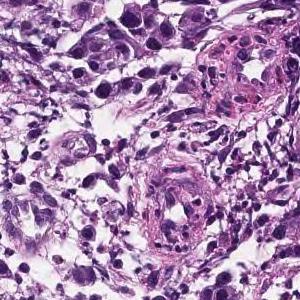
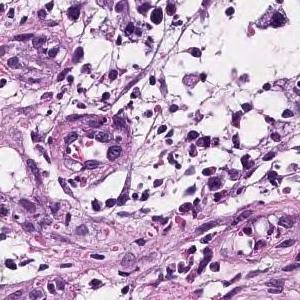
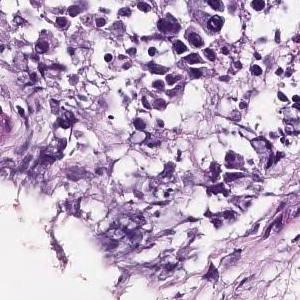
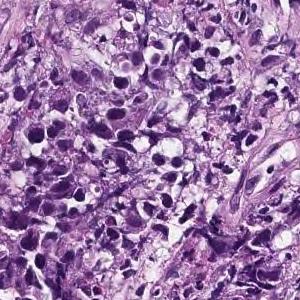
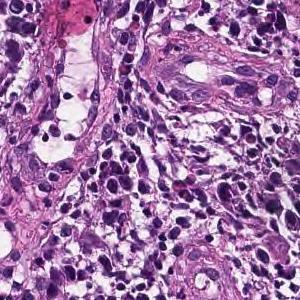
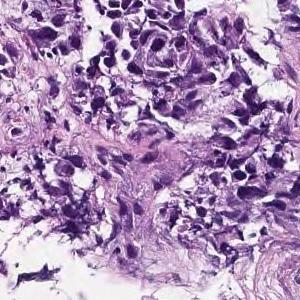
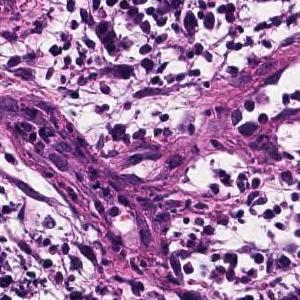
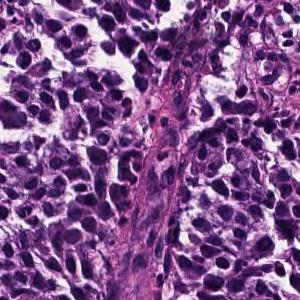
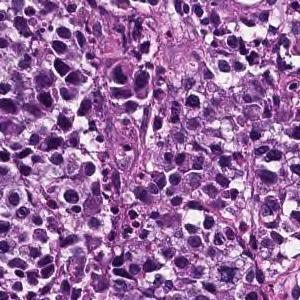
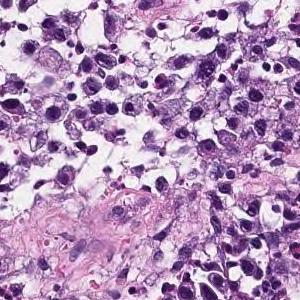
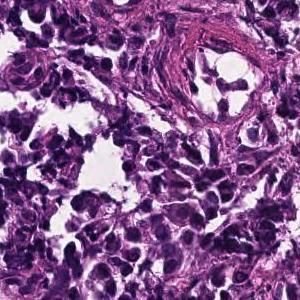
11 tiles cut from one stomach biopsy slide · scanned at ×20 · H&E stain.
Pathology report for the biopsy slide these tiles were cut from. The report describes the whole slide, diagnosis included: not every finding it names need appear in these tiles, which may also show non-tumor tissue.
The superficial epithelium shows a small alveolar shape, and some tumor tissues infiltrate with a cord-like structure. Poorly differentiated adenocarcinoma, solid-type
Subtype: Poorly differentiated adenocarcinoma, solid type (Japanese Classification of Gastric Carcinoma). The WHO 2019 equivalent is tubular adenocarcinoma, poorly differentiated.
